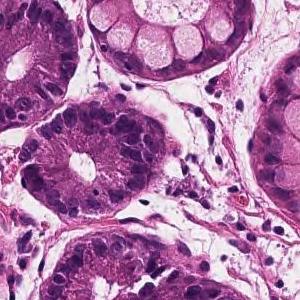
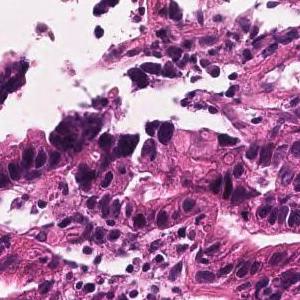
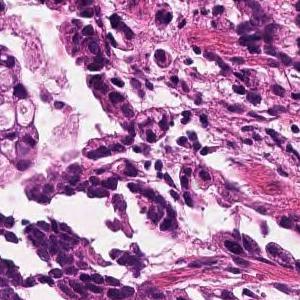
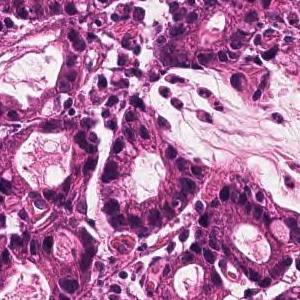
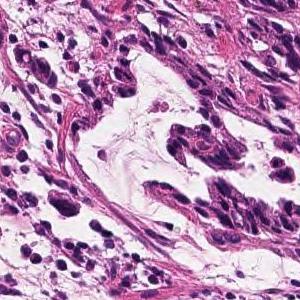
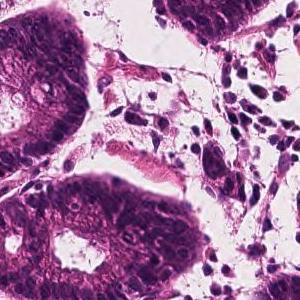
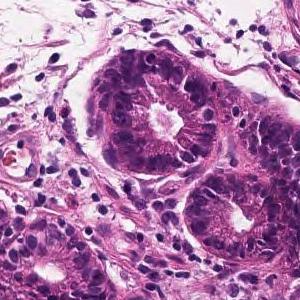
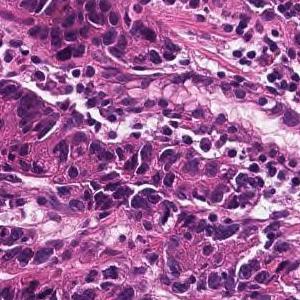
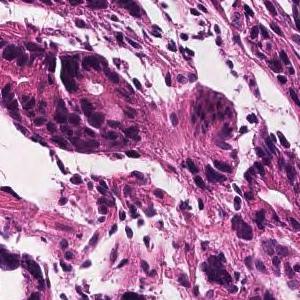
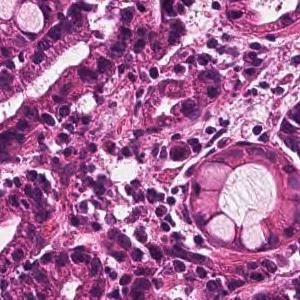
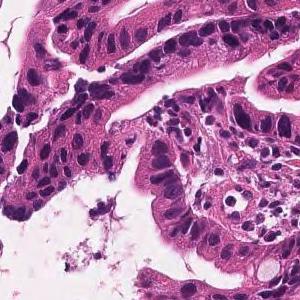
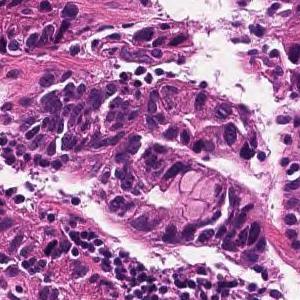
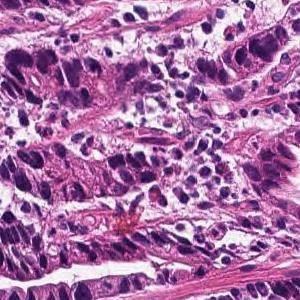
H&E stain; 13 patches cut from one gastric biopsy slide; 300 × 300 pixels each.
Report on the slide these tiles come from. The findings and the diagnosis refer to the entire slide; these tiles show only part of it, possibly with non-tumor tissue, and may not show every feature named.
In the superficial epithelium, tumor tissue that invades by forming medium-sized to small, irregular ducts is observed. moderately differentiated tubular adenocarcinoma.
